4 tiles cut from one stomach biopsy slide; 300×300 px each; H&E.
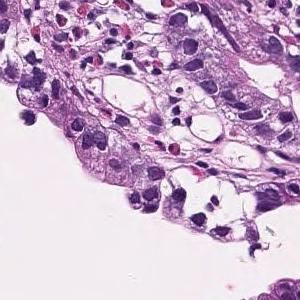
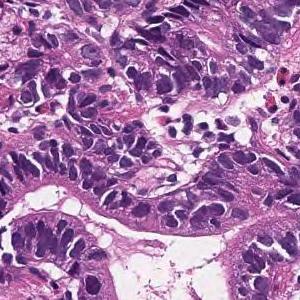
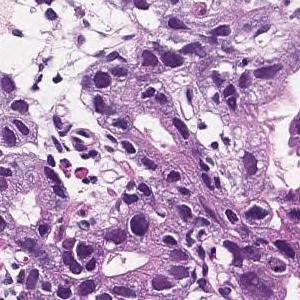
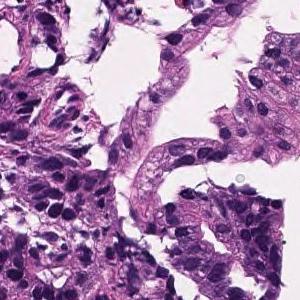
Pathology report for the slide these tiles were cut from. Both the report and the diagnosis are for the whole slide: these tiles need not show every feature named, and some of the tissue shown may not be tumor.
On the superficial epithelium, tumor tissue consisting of large, irregular glandular ducts partially fused and infiltrated is observed. Well to moderately differentiated tubular adenocarcinoma (well differentiated tubular adenocarcinoma, moderately differentiated tubular adenocarcinoma)
Subtype: Well to moderately differentiated tubular adenocarcinoma.
